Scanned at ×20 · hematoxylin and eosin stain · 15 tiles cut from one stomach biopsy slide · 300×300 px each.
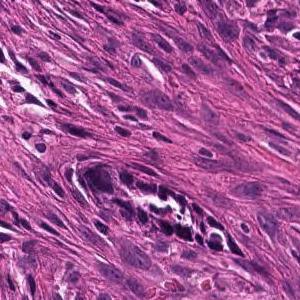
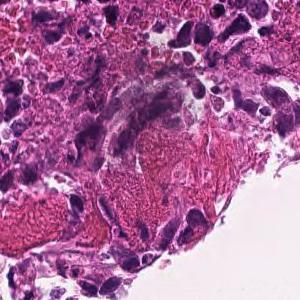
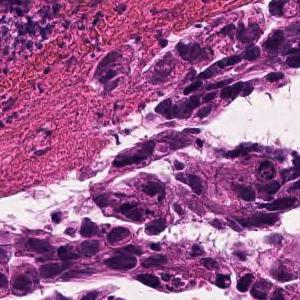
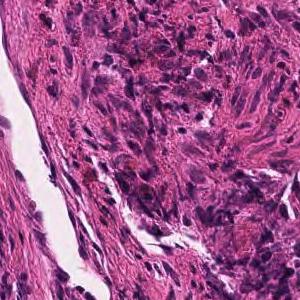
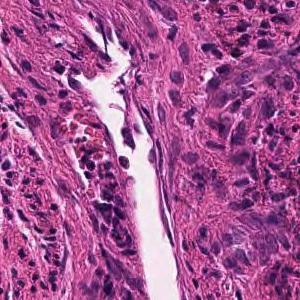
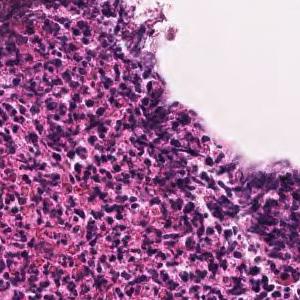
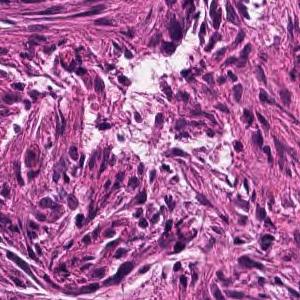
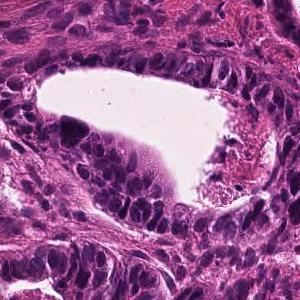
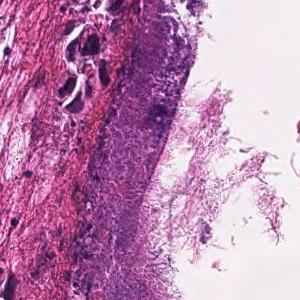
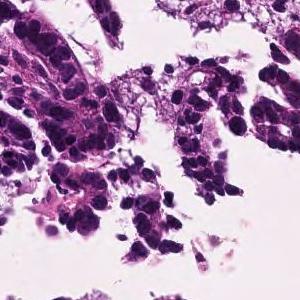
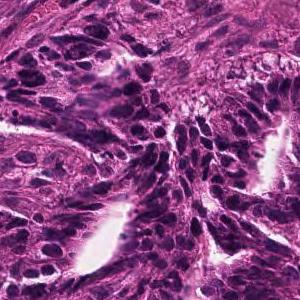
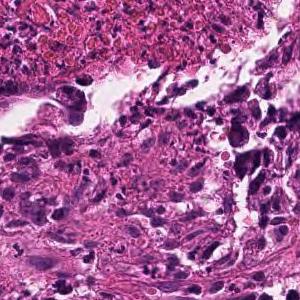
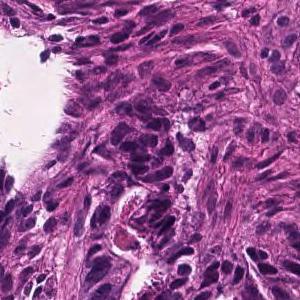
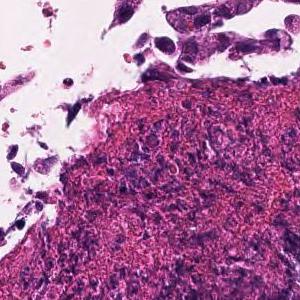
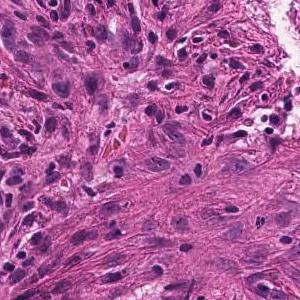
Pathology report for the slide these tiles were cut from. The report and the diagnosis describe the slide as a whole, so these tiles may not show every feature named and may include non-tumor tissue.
In the superficial epithelium, tumor tissue that invades by forming medium-sized to small, irregular ducts is observed. moderately differentiated tubular adenocarcinoma.
